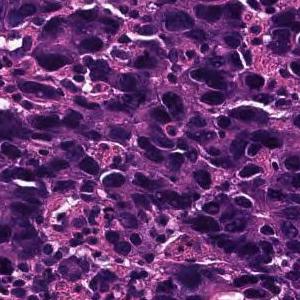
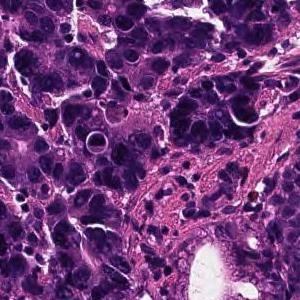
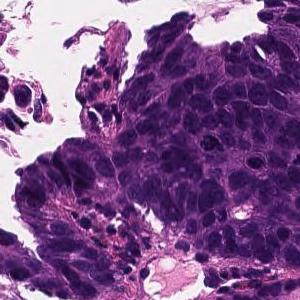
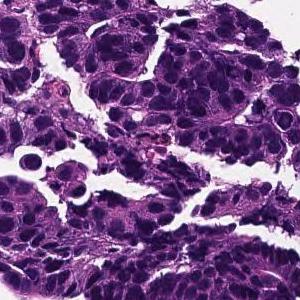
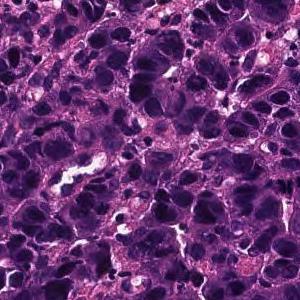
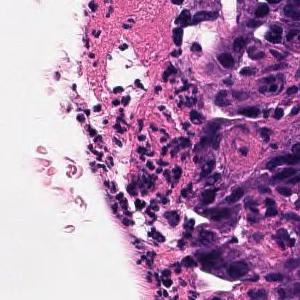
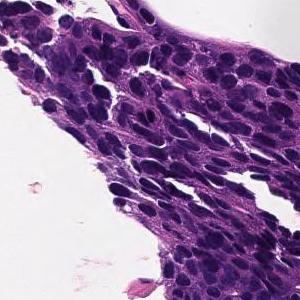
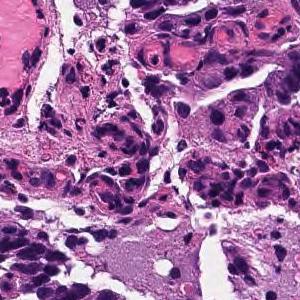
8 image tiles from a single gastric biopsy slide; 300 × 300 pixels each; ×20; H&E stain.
Pathology report for the biopsy slide these tiles were cut from. What the report and the diagnosis say applies to the whole slide; these tiles may miss some of the features named and may include tissue that is not tumor.
In the superficial epithelium, tumor tissue that invades by forming medium-sized to small, irregular ducts is observed. moderately differentiated tubular adenocarcinoma.
